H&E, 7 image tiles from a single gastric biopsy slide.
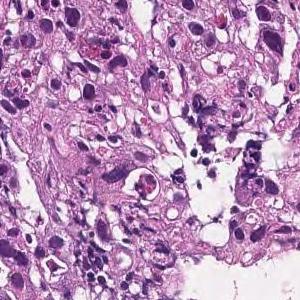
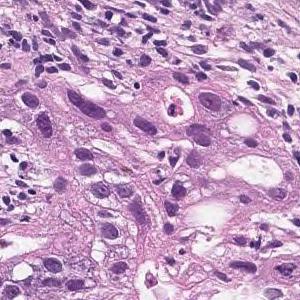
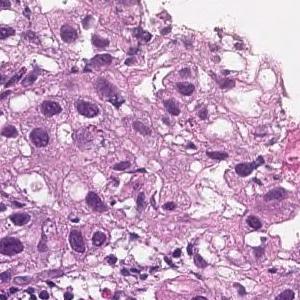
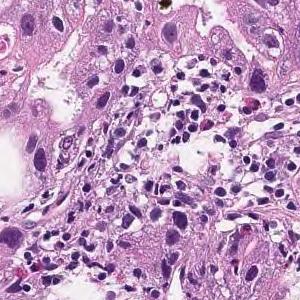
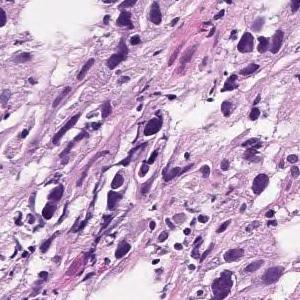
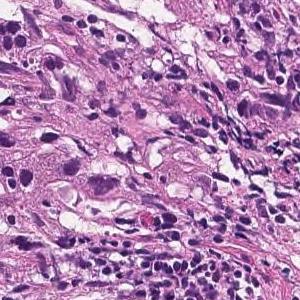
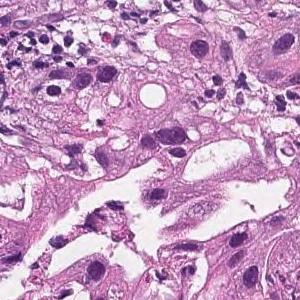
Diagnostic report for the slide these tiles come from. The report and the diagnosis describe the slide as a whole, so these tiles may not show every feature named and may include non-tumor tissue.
In the superficial epithelium, tumor tissue that invades by forming medium-sized to small, irregular ducts is observed. moderately differentiated tubular adenocarcinoma.
